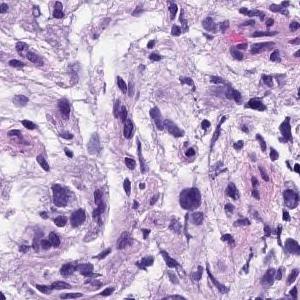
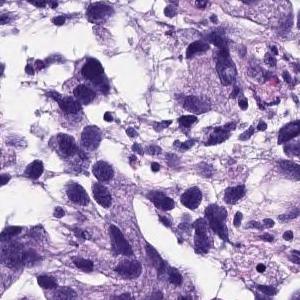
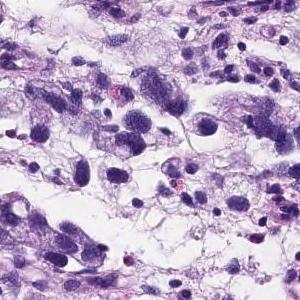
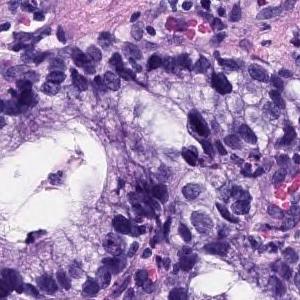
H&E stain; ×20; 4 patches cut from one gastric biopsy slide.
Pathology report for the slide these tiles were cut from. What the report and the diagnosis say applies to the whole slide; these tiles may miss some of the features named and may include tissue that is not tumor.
Medium to small, irregular glandular ducts are formed in the superficial epithelium, and in some cases, the glandular ducts are fused to show solid alveolar lesions and infiltrating tumor tissue is observed. Poorly differentiated adenocarcinoma, Moderately differentiated adenocarcinoma.
The dataset labels this slide moderately differentiated tubular adenocarcinoma.
